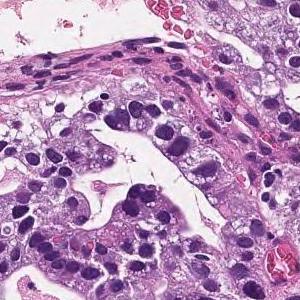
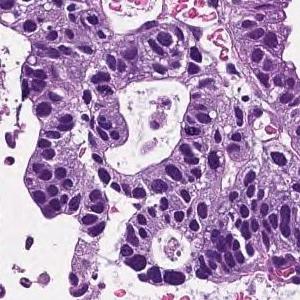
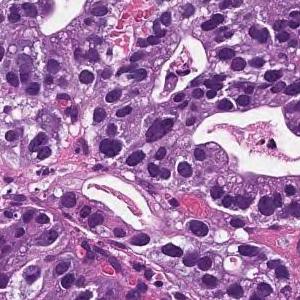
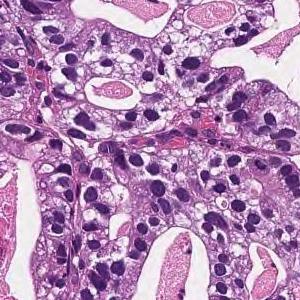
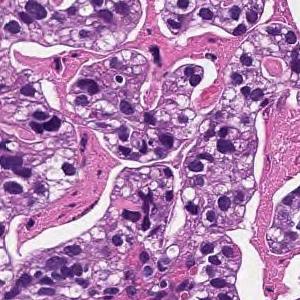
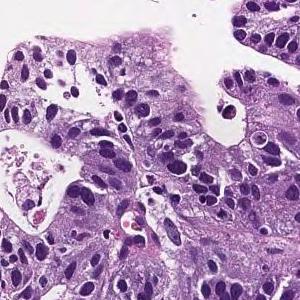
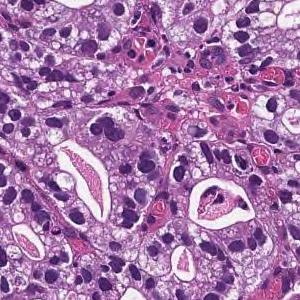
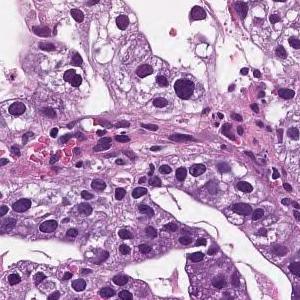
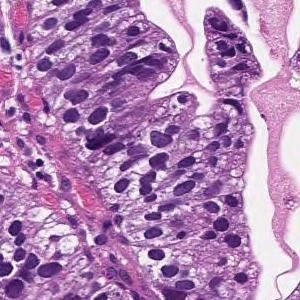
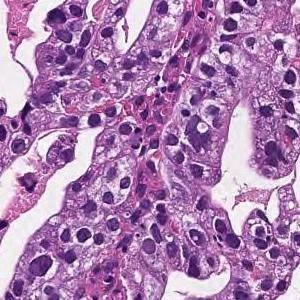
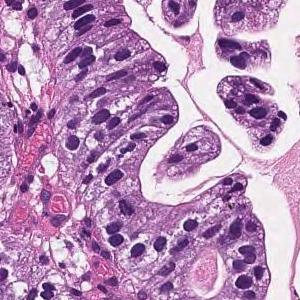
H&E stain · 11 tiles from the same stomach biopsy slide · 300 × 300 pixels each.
Diagnostic report for the slide these tiles come from. Both the report and the diagnosis are for the whole slide: these tiles need not show every feature named, and some of the tissue shown may not be tumor.
On the superficial epithelium, tumor tissue consisting of large, irregular glandular ducts partially fused and infiltrated is observed. Well to moderately differentiated tubular adenocarcinoma (well differentiated tubular adenocarcinoma, moderately differentiated tubular adenocarcinoma)
Histological subtype: Well to moderately differentiated tubular adenocarcinoma.
